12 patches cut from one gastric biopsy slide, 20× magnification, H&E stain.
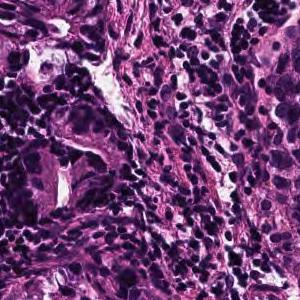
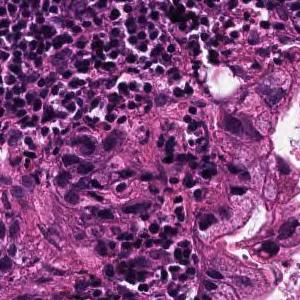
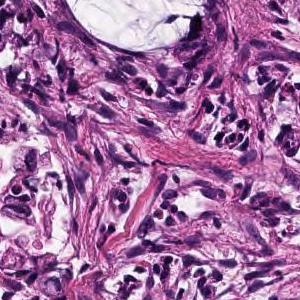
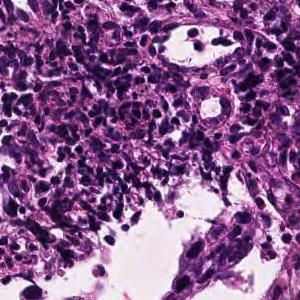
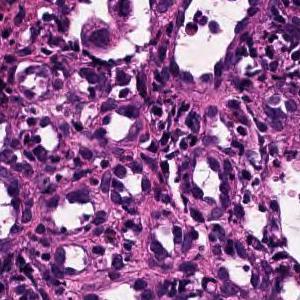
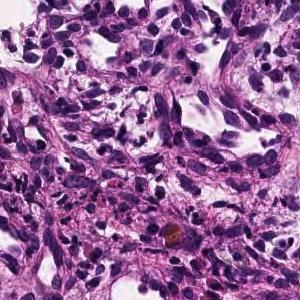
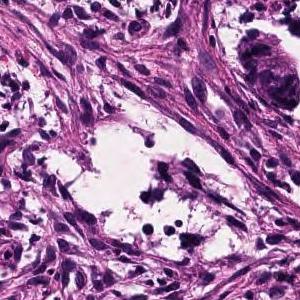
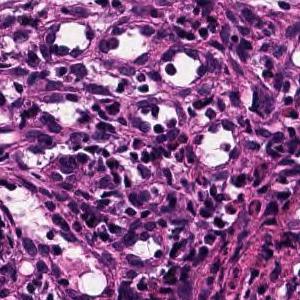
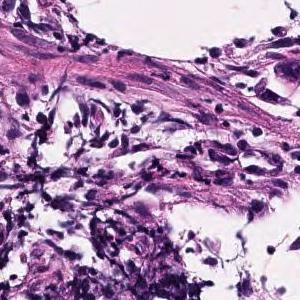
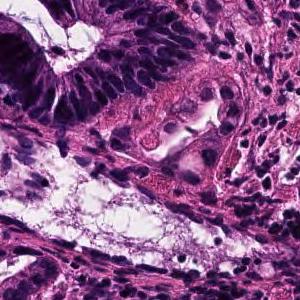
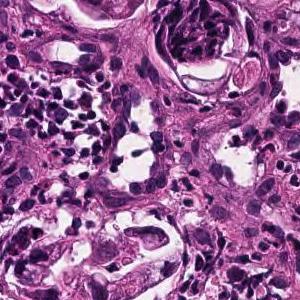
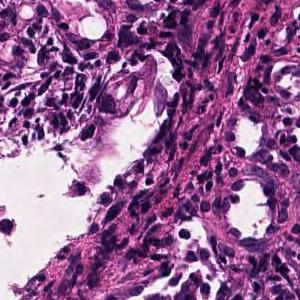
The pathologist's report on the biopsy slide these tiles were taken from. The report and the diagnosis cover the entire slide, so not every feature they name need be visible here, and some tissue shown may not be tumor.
On the superficial epithelium, tumor tissue consisting of large, irregular glandular ducts partially fused and infiltrated is observed. Well to moderately differentiated tubular adenocarcinoma (well differentiated tubular adenocarcinoma, moderately differentiated tubular adenocarcinoma)
Tumor subtype: well to moderately differentiated tubular adenocarcinoma.
